16 tiles cut from one stomach biopsy slide; 300 × 300 pixels each; H&E stain; ×20.
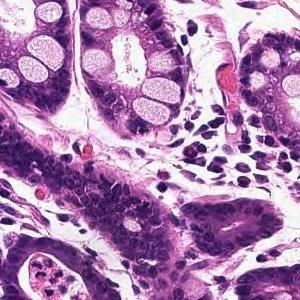
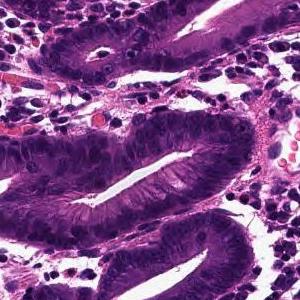
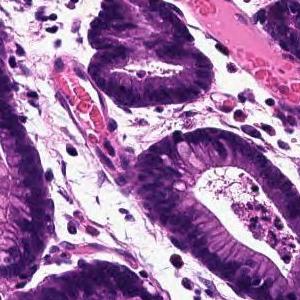
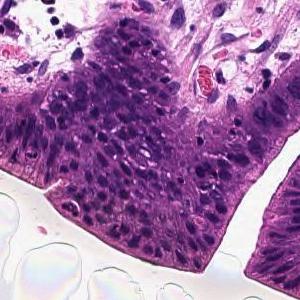
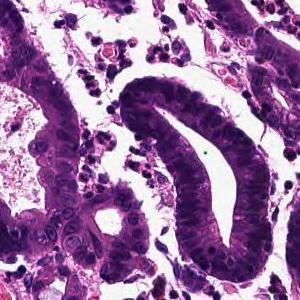
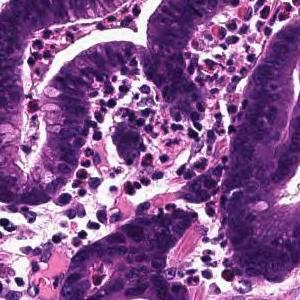
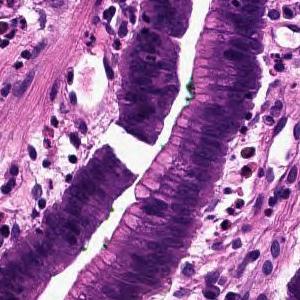
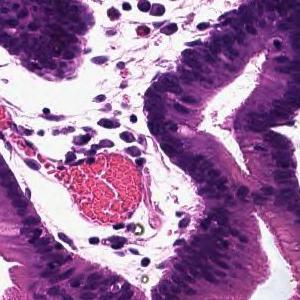
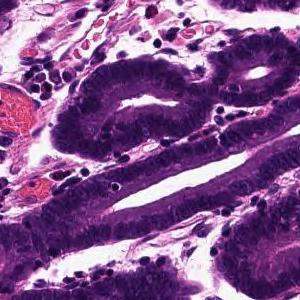
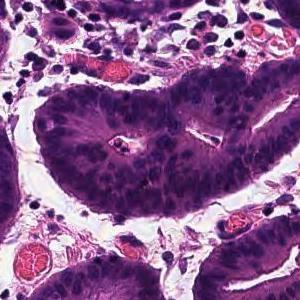
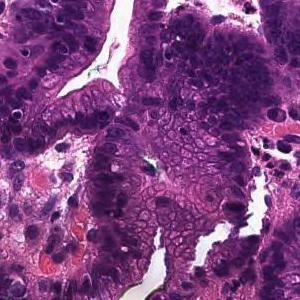
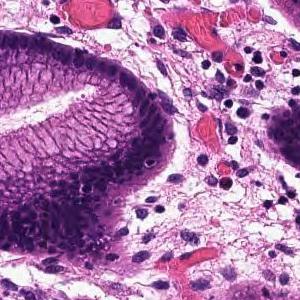
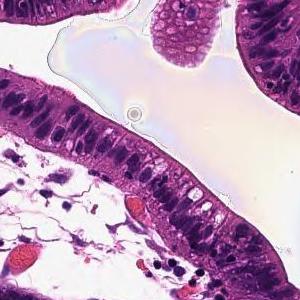
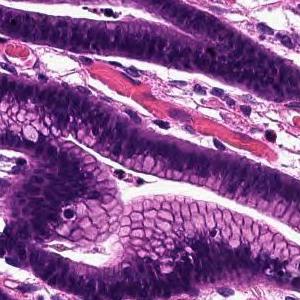
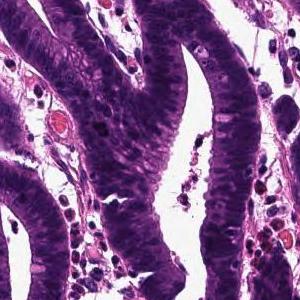
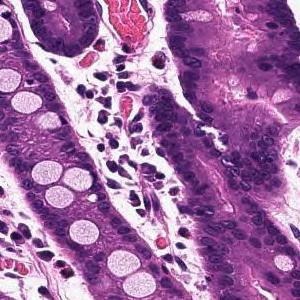
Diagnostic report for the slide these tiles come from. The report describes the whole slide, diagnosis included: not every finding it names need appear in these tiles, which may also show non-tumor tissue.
Tumor tissue that infiltrates by forming large papillary or large irregular glandular ducts is observed confined to the mucosa. Papillary adenocarcinoma
